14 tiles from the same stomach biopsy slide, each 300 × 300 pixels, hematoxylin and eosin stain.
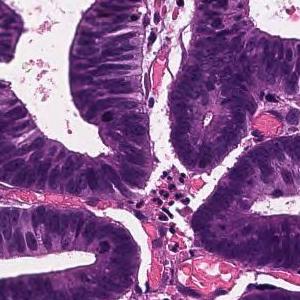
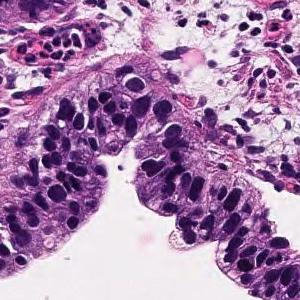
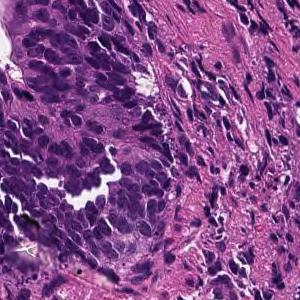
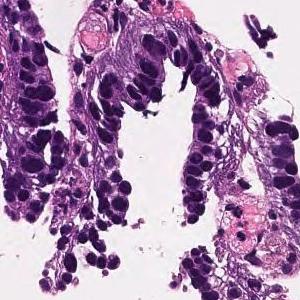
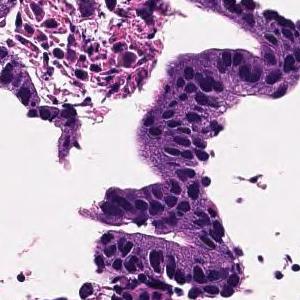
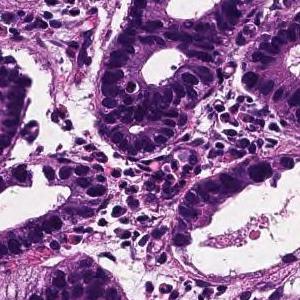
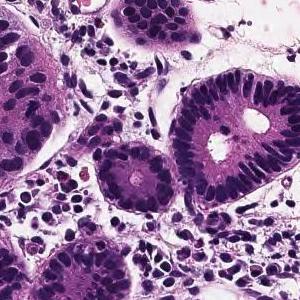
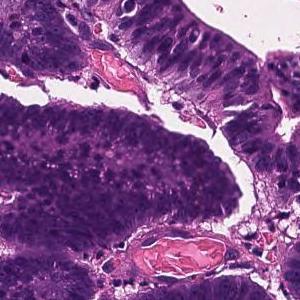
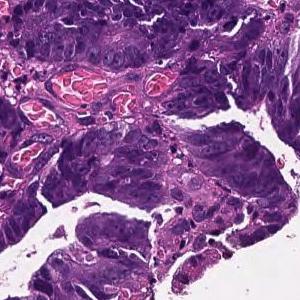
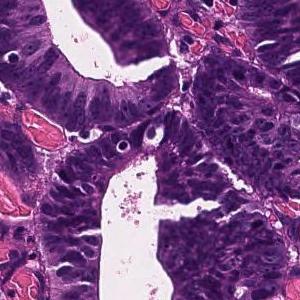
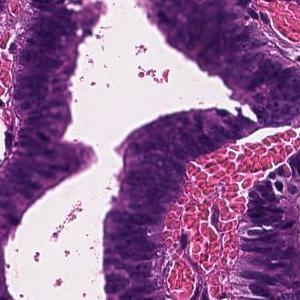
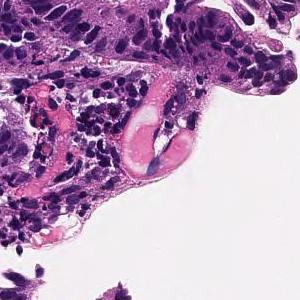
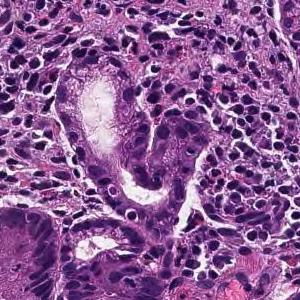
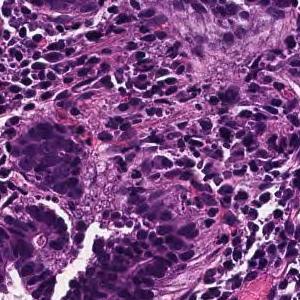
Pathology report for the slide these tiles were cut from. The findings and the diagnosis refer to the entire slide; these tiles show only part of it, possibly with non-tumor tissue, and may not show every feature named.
Tumor tissue consisting of large papillary structures is found in the superficial epithelium. Papillary adenocarcinoma.
